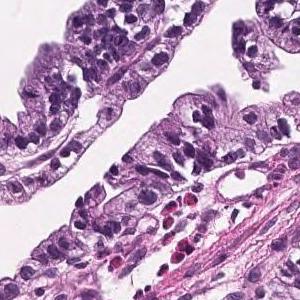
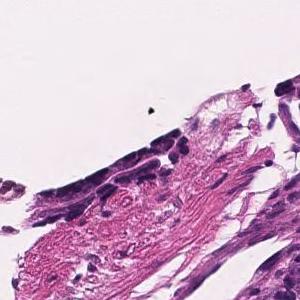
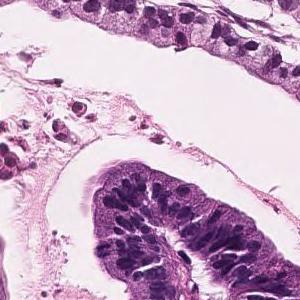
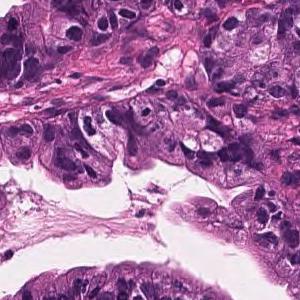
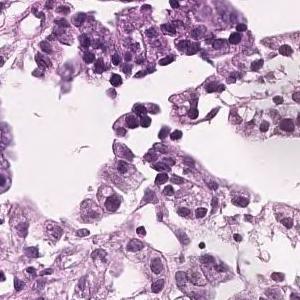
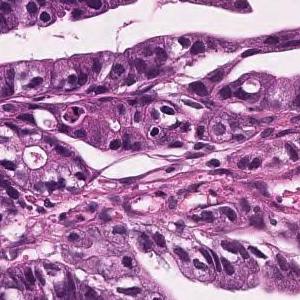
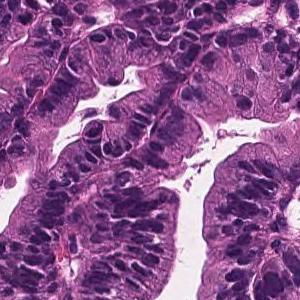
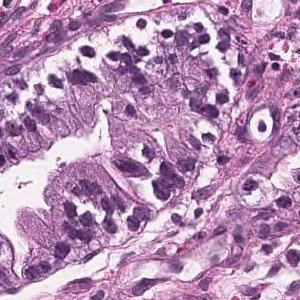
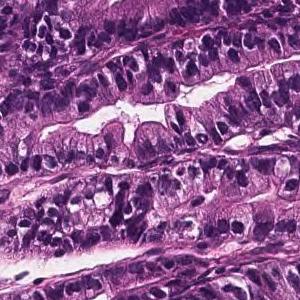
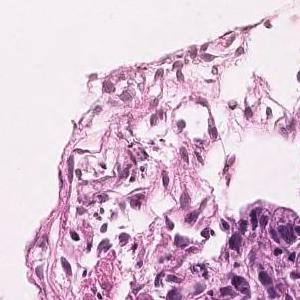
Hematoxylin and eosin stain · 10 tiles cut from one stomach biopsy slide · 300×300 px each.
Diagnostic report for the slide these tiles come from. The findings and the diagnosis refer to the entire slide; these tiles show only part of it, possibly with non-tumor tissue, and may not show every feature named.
Tumor cells are large, highly columnar, large club-shaped nuclei, and are associated with chromatin aggregation. Papillary adenocarcinoma.
